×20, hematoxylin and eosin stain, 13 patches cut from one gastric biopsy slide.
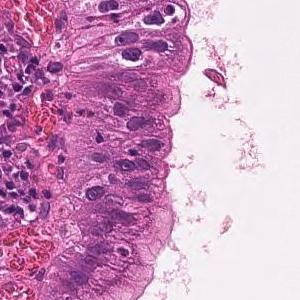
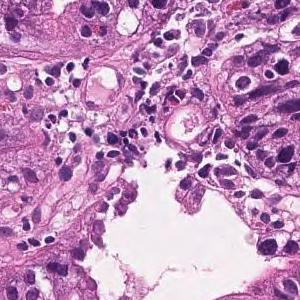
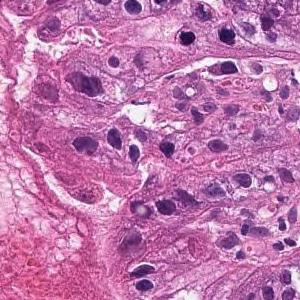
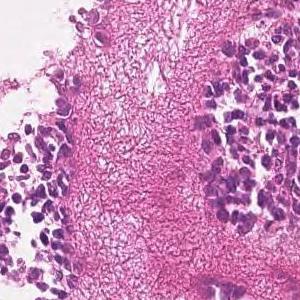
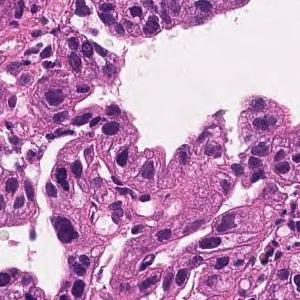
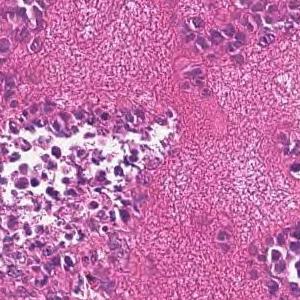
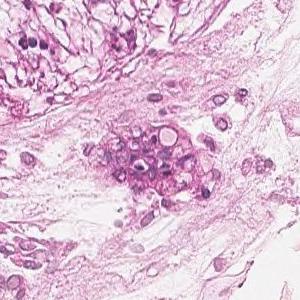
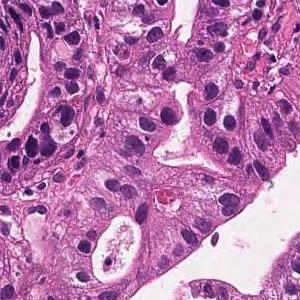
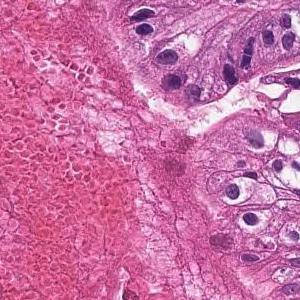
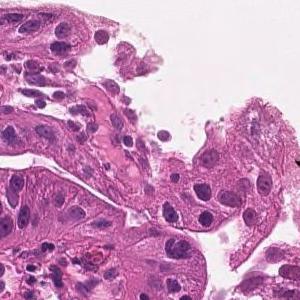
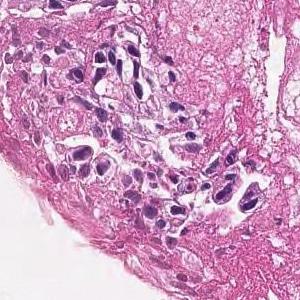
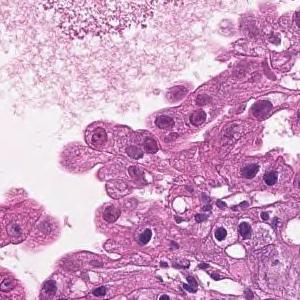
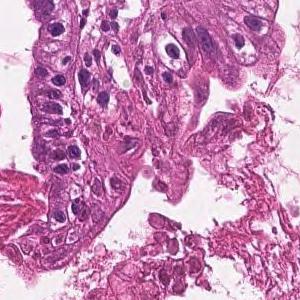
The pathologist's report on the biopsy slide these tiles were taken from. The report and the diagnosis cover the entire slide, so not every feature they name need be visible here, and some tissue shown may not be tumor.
Tumor cells are large, highly columnar, large club-shaped nuclei, and are associated with chromatin aggregation. Papillary adenocarcinoma.
